16 tiles cut from one stomach biopsy slide, hematoxylin and eosin stain, scanned at ×20.
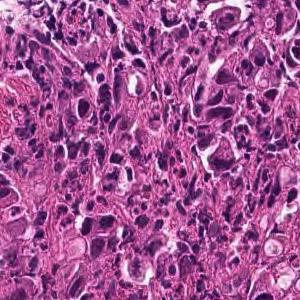
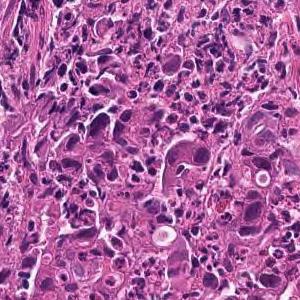
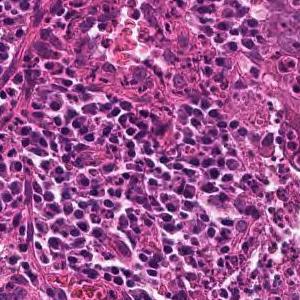
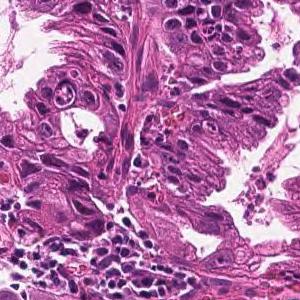
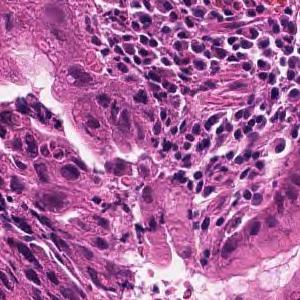
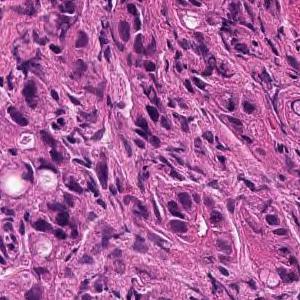
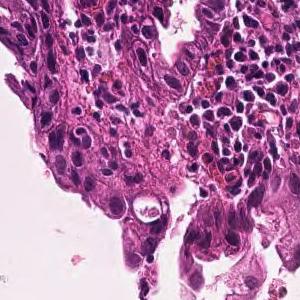
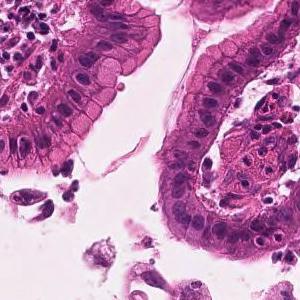
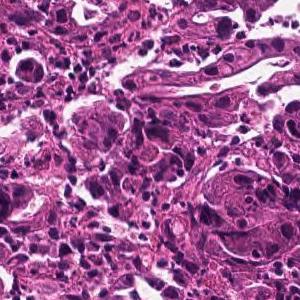
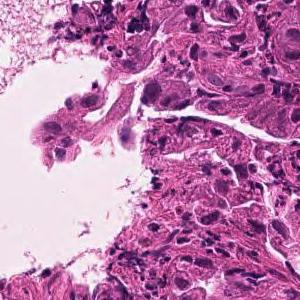
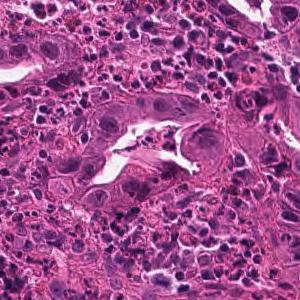
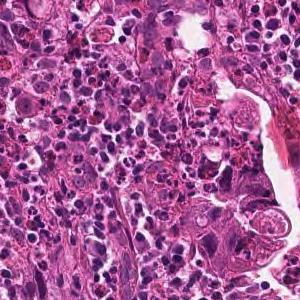
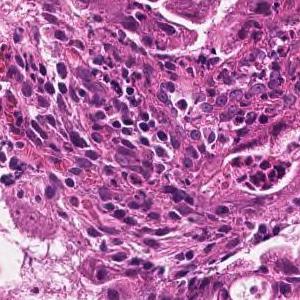
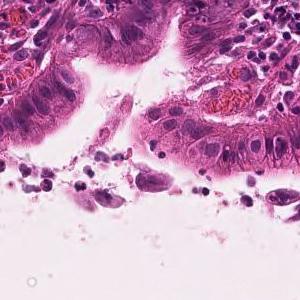
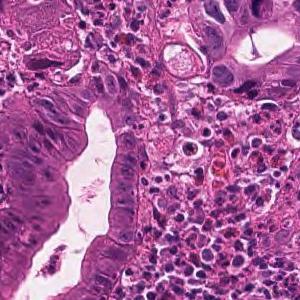
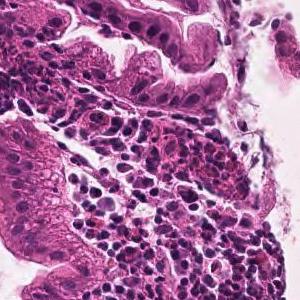
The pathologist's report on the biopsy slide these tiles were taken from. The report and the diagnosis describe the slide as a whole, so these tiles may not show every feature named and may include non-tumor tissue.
Medium to small, irregular glandular ducts are formed in the superficial epithelium, and in some cases, the glandular ducts are fused to show solid alveolar lesions and infiltrating tumor tissue is observed. Moderately to poorly differentiated adenocarcinoma.
